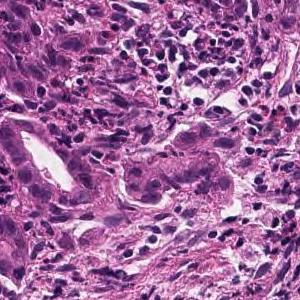
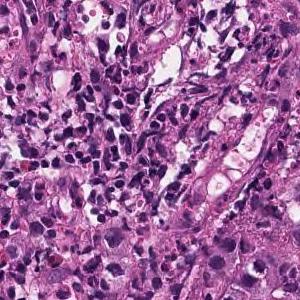
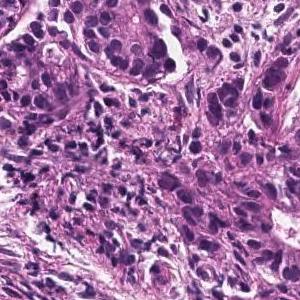
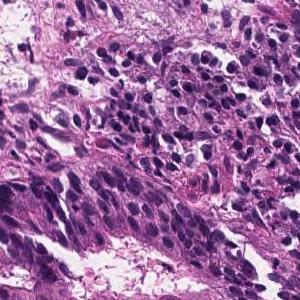
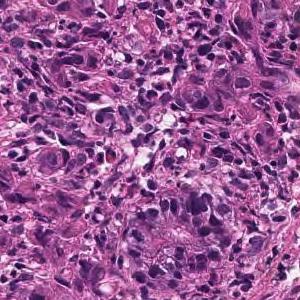
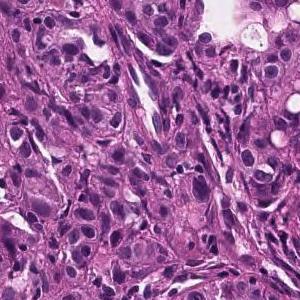
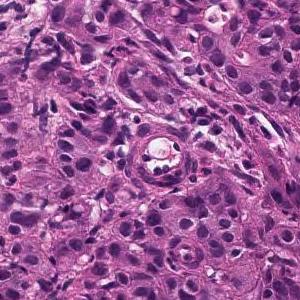
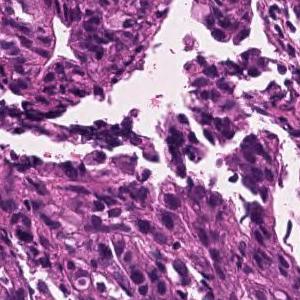
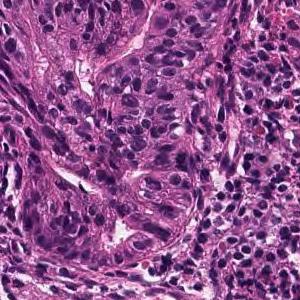
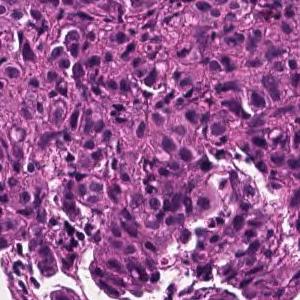
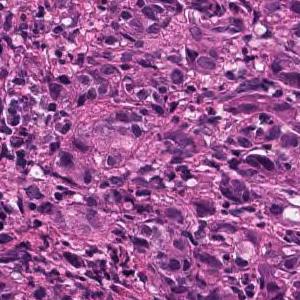
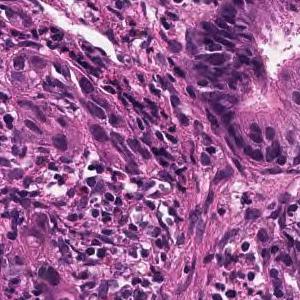
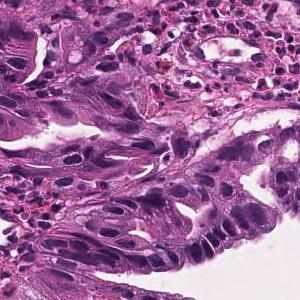
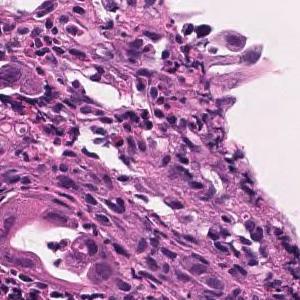
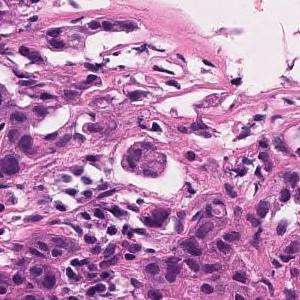
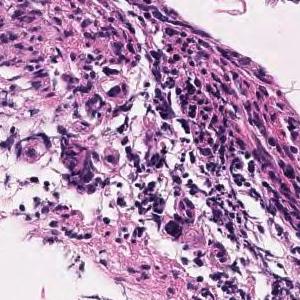
Scanned at ×20 · H&E stain · 16 patches cut from one gastric biopsy slide · 300 × 300 pixels each.
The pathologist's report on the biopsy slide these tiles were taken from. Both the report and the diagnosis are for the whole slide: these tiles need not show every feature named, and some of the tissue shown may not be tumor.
Tumor tissue consisting of medium-sized, cord-like or irregular glandular infiltration is observed in the superficial epithelium. Poorly differentiated adenocarcinoma, non-solid type or moderately differentiated tubular adenocarcinoma
The non-solid type named here is a Japanese Classification of Gastric Carcinoma category.
